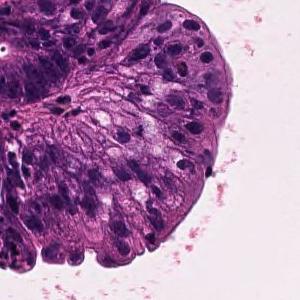
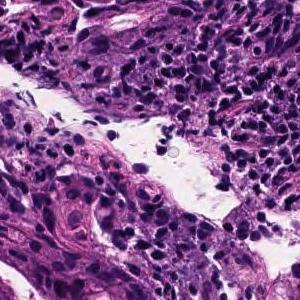
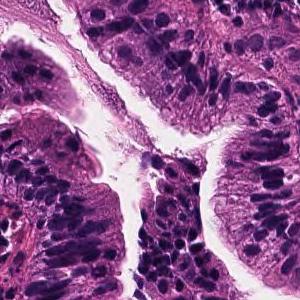
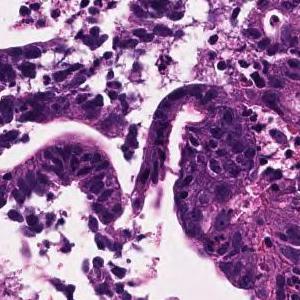
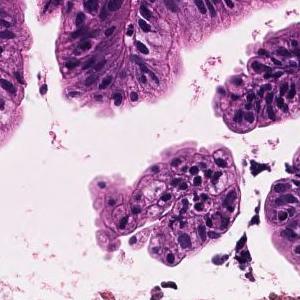
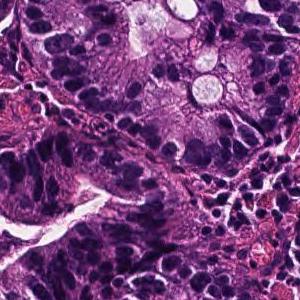
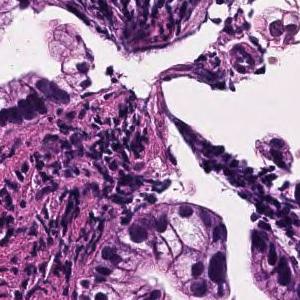
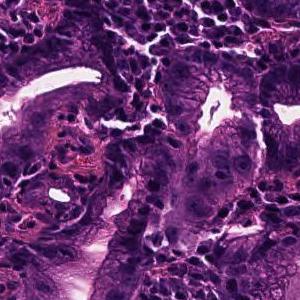
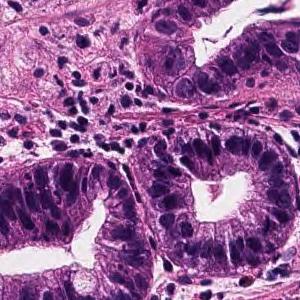
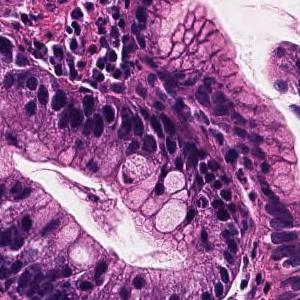
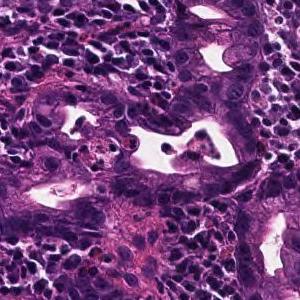
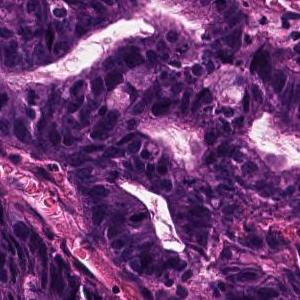
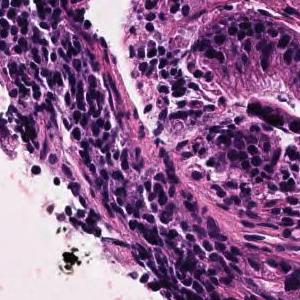
13 tiles from the same stomach biopsy slide · 300 × 300 pixels each · scanned at ×20 · hematoxylin and eosin stain.
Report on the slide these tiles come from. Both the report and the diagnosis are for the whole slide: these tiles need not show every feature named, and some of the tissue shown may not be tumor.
Tumor cells are large, highly columnar, large club-shaped nuclei, and are associated with chromatin aggregation. Papillary adenocarcinoma.
